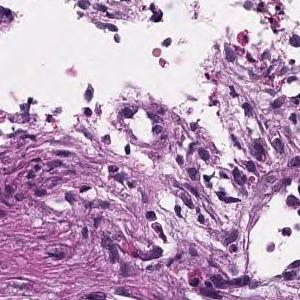
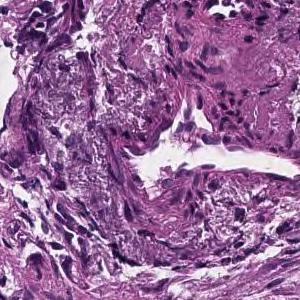
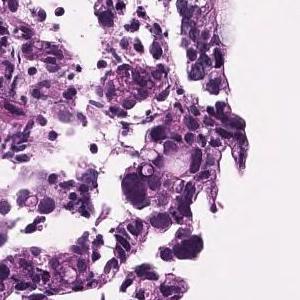
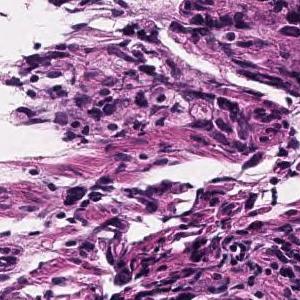
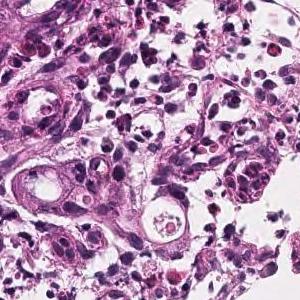
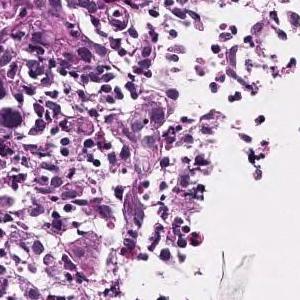
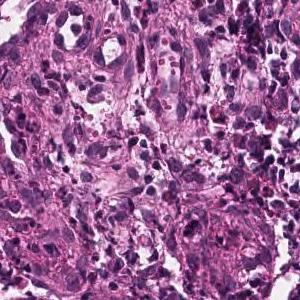
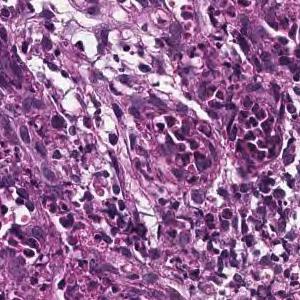
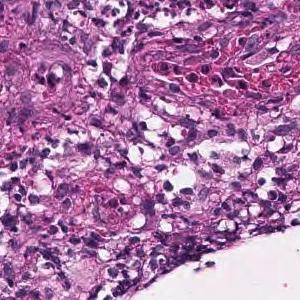
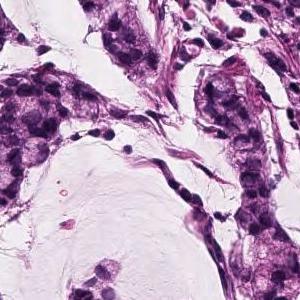
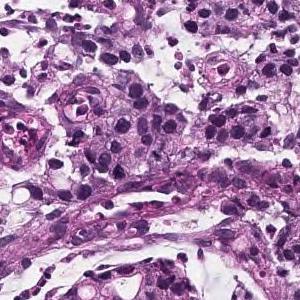
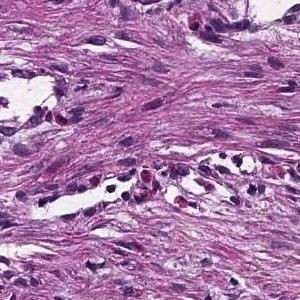
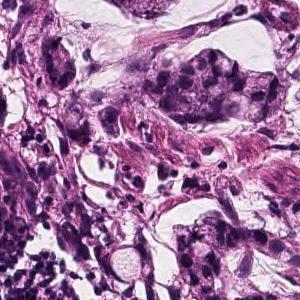
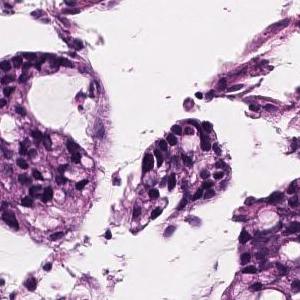
14 patches cut from one gastric biopsy slide · 300×300 px each · ×20 · hematoxylin and eosin stain.
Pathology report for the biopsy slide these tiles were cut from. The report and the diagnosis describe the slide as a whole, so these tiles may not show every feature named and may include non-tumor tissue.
Atypical epithelial cells form obscure ductal structures or small solid follicles, and tumor tissue that proliferates invasively with proliferation of inflammatory granulation tissue is observed. Mucinous adenocarcinoma .
